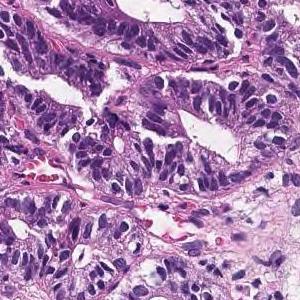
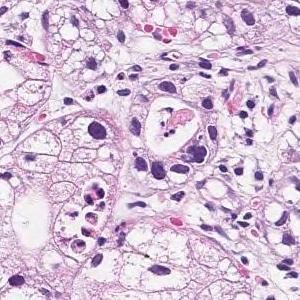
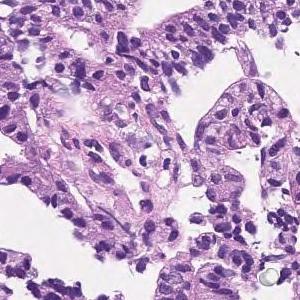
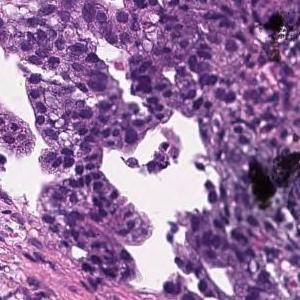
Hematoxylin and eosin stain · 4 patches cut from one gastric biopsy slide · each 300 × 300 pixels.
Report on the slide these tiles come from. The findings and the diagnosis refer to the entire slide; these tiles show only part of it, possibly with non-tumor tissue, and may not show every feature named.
In the superficial epithelium, tumor tissue that invades by forming medium-sized to small, irregular ducts is observed. Moderately differentiated adenocarcinoma.
Histological subtype: Moderately differentiated tubular adenocarcinoma.
